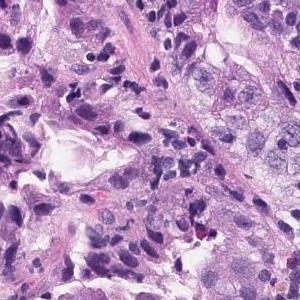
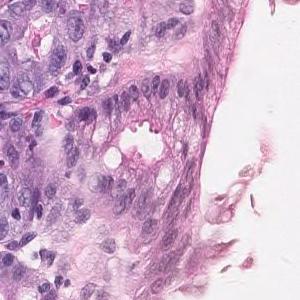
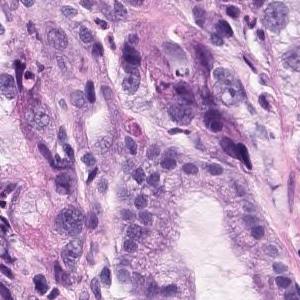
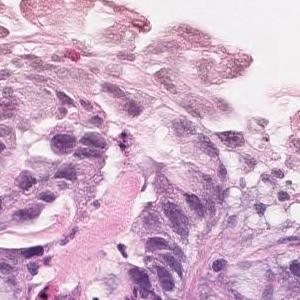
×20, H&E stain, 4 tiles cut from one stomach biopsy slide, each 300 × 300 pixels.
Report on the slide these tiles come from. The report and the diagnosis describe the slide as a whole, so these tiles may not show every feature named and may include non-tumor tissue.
In the superficial epithelium, tumor tissue that invades by forming medium-sized to small irregular glandular ducts is observed. Moderately differentiated adenocarcinoma.
Tumor subtype: moderately differentiated tubular adenocarcinoma.
